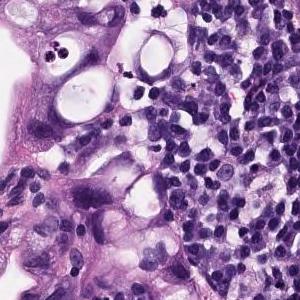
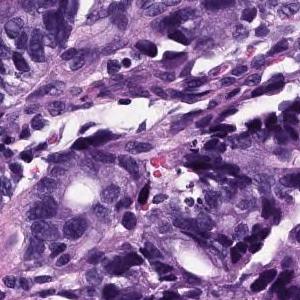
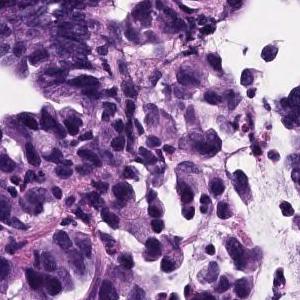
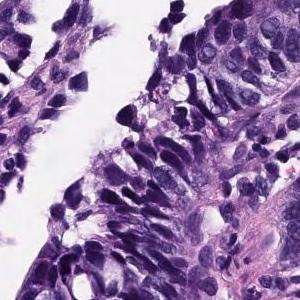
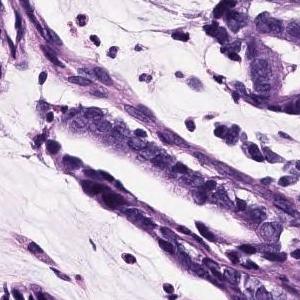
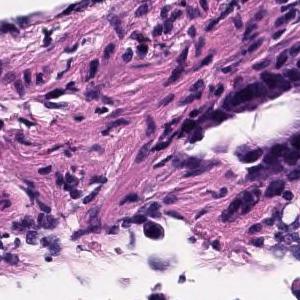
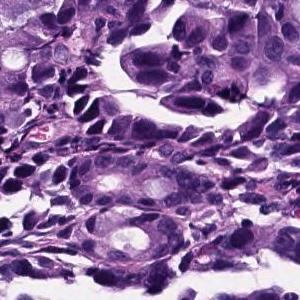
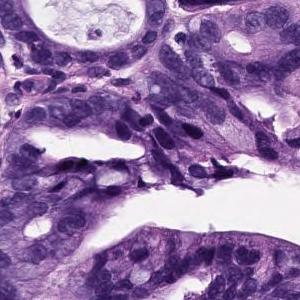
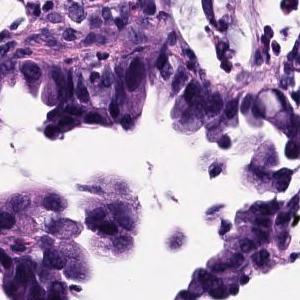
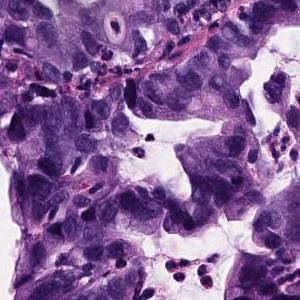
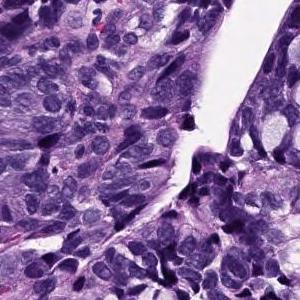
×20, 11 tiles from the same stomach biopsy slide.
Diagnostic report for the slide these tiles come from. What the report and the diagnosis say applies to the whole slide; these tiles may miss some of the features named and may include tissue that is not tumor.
Atypical epithelium proliferating showing villus construction and irregular gland duct construction is observed. Moderately differentiated tubular adenocarcinoma.
